Hematoxylin and eosin stain, ×20, 16 image tiles from a single gastric biopsy slide, each 300 × 300 pixels.
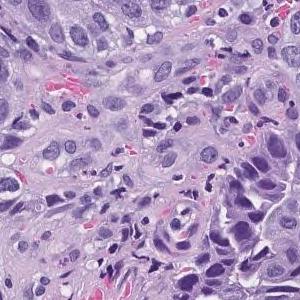
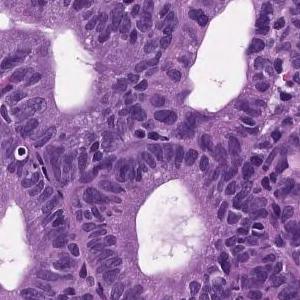
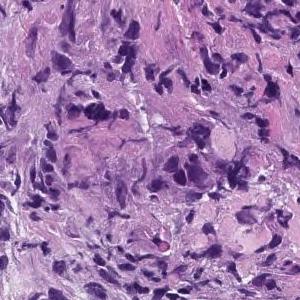
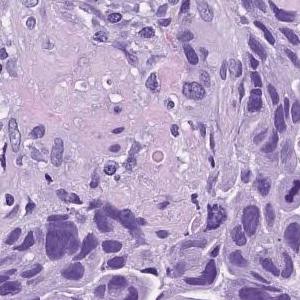
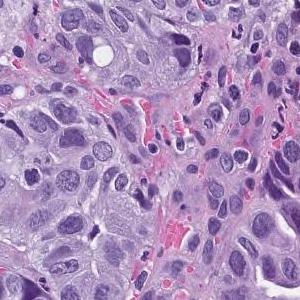
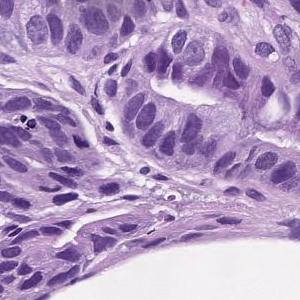
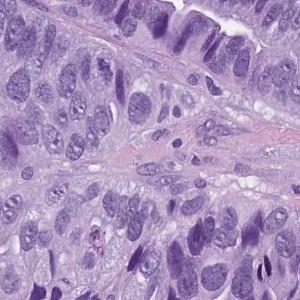
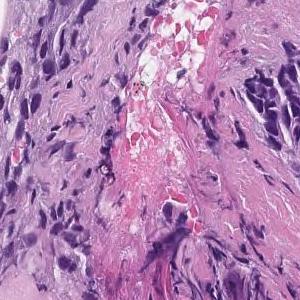
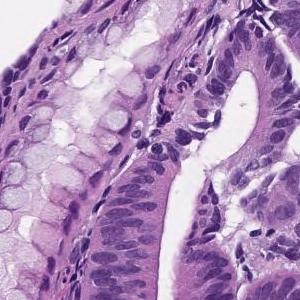
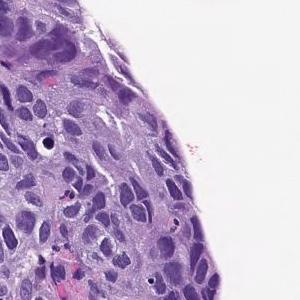
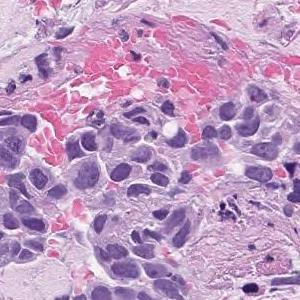
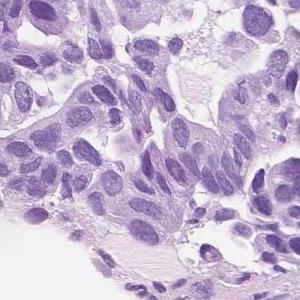
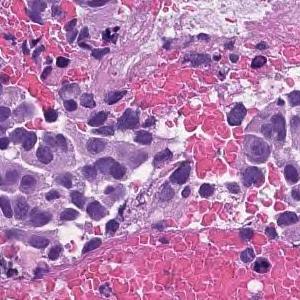
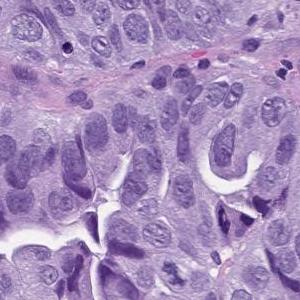
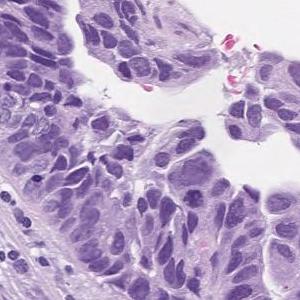
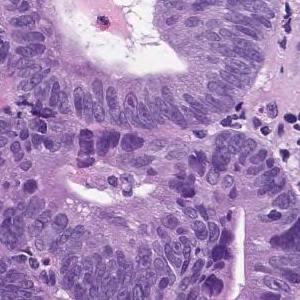
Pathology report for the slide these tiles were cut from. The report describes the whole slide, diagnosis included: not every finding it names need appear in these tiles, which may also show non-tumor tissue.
In the superficial epithelium, tumor tissue that invades by forming medium-sized to small, irregular ducts is observed. moderately differentiated tubular adenocarcinoma.
